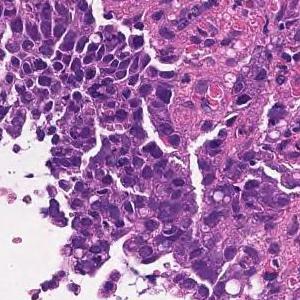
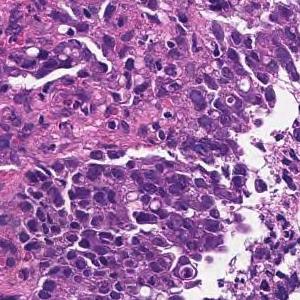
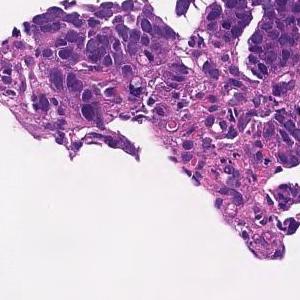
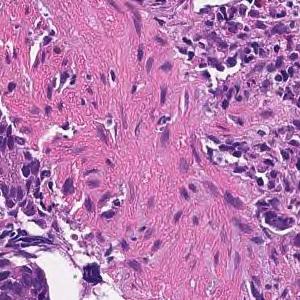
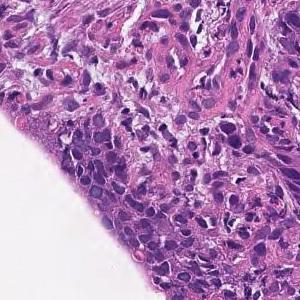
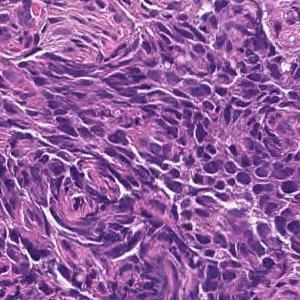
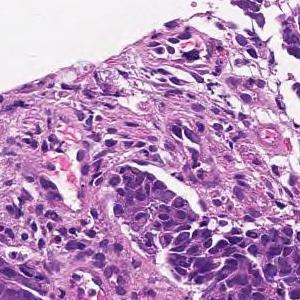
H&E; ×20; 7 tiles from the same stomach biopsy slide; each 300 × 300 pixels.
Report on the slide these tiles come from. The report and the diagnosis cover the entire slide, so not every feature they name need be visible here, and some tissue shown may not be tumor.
Tumor tissue consisting of cord-like or small, irregular glandular ducts fused and infiltrated is observed in the superficial epithelium. Poorly differentiated adenocarcinoma, non-solid type
"Non-solid type" is a category of the Japanese Classification of Gastric Carcinoma.
